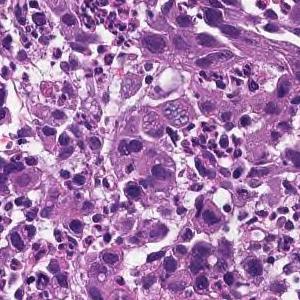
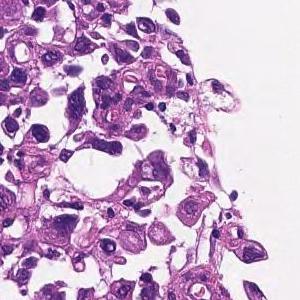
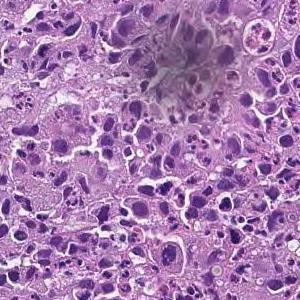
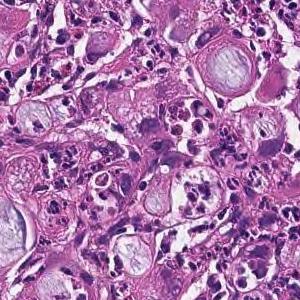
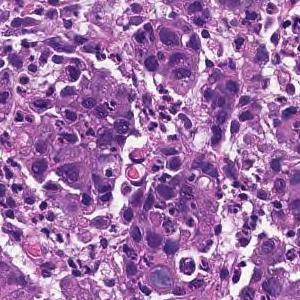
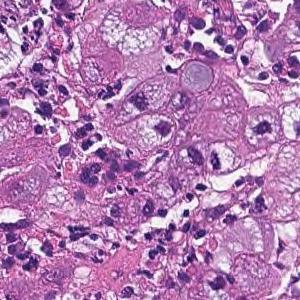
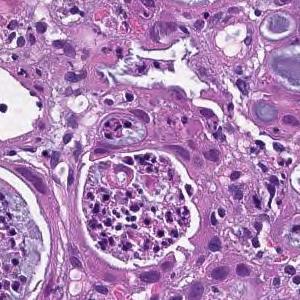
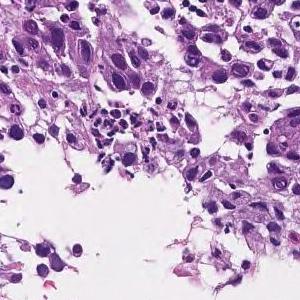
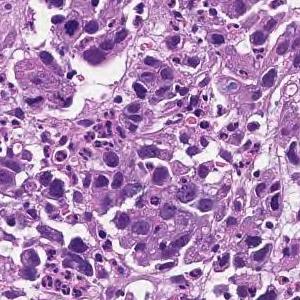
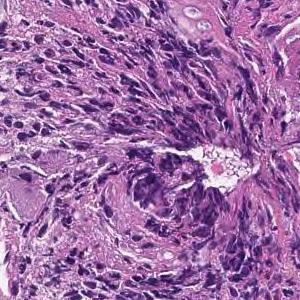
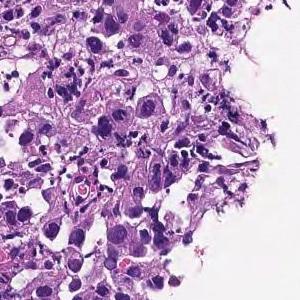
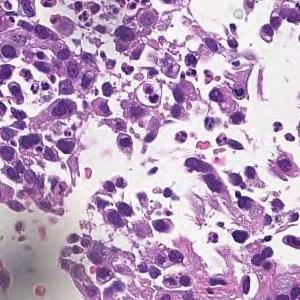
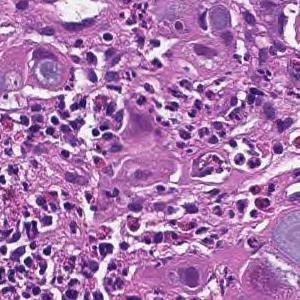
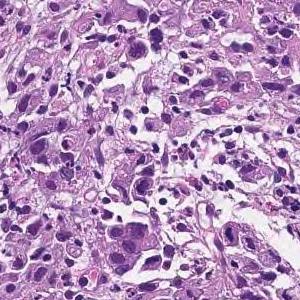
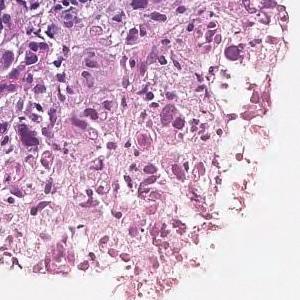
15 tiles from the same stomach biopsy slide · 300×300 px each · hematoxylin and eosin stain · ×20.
Pathology report for the biopsy slide these tiles were cut from. The report and the diagnosis describe the slide as a whole, so these tiles may not show every feature named and may include non-tumor tissue.
The superficial epithelium shows a large sheet-like shape, and some tumor tissue infiltrates with small irregular ducts. Poorly differentiated adenocarcinoma, solid-type
Tumor subtype: poorly differentiated adenocarcinoma, solid type. This name comes from the Japanese Classification of Gastric Carcinoma; the WHO 2019 classification calls it tubular adenocarcinoma, poorly differentiated.
